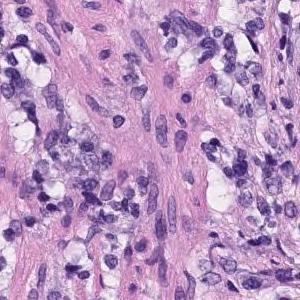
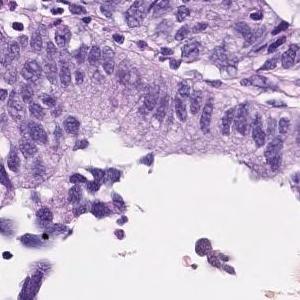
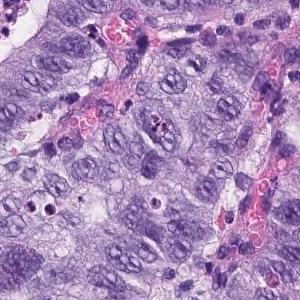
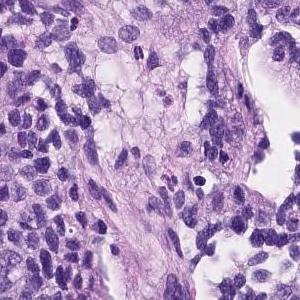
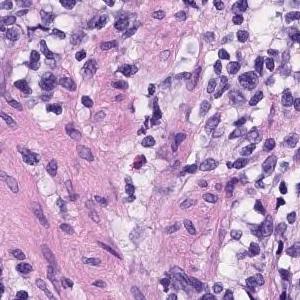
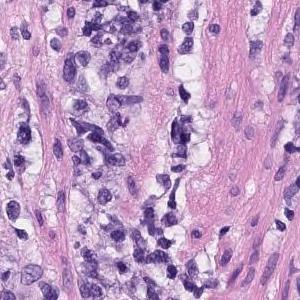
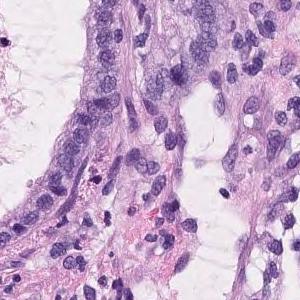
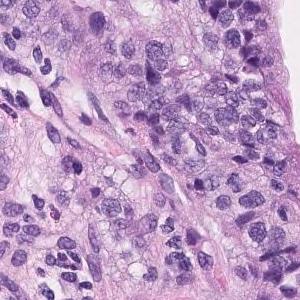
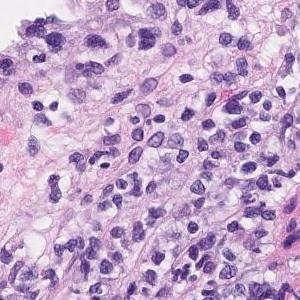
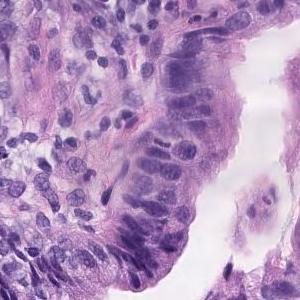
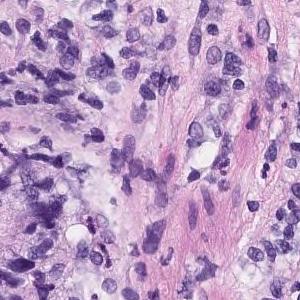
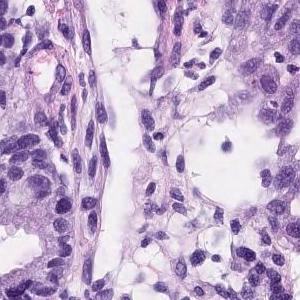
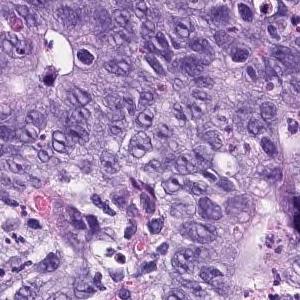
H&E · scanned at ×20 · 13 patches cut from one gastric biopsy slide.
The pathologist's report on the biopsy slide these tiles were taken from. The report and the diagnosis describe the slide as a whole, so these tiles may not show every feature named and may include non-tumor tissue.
Tumor cells are large, highly columnar, large club-shaped nuclei, and are associated with chromatin aggregation. Papillary adenocarcinoma.
